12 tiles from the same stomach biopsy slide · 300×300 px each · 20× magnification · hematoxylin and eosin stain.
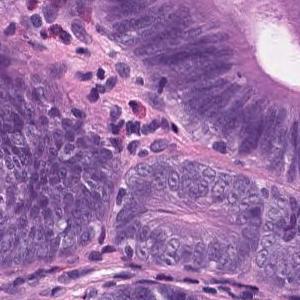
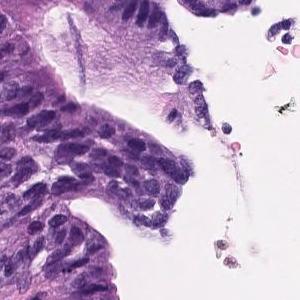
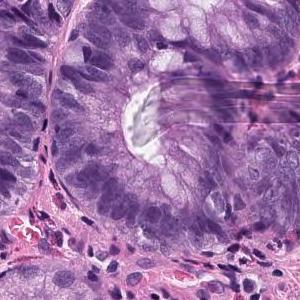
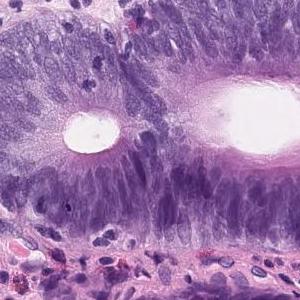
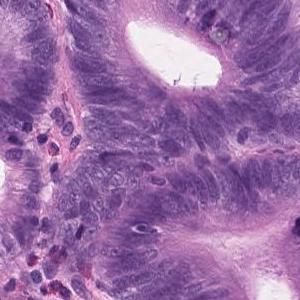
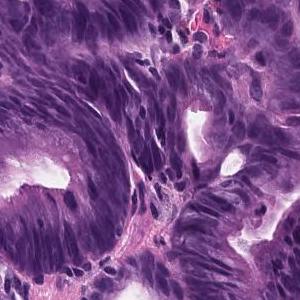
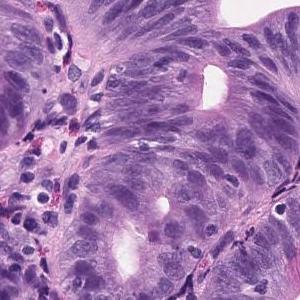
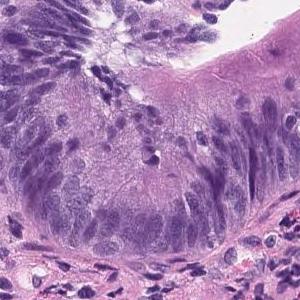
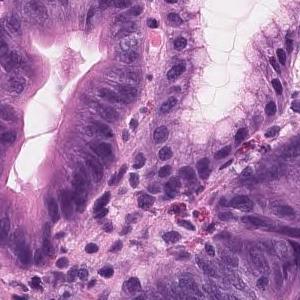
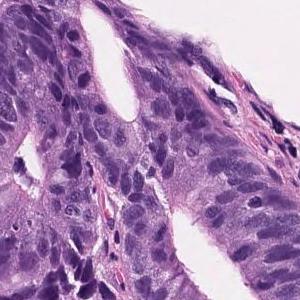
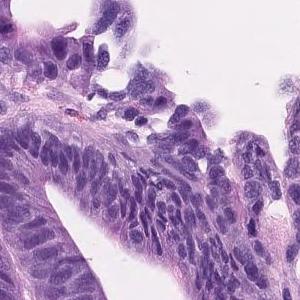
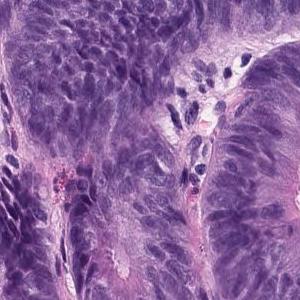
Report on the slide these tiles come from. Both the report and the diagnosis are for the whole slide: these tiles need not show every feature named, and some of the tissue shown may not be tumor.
On the superficial epithelium, tumor tissue with densely growing medium to large, round tubules is observed. Tumor cells are highly columnar, with nuclei aligned basolaterally and polarized. Well differentiated tubular adenocarcinoma
